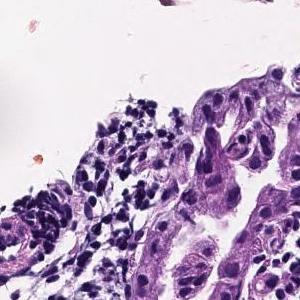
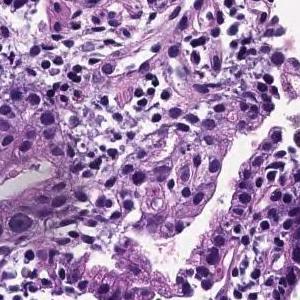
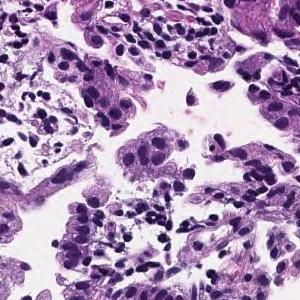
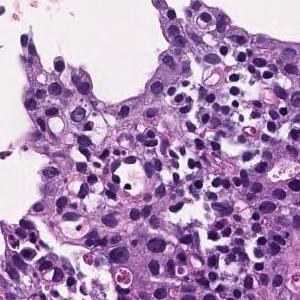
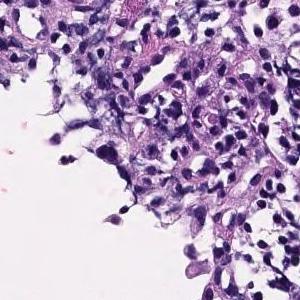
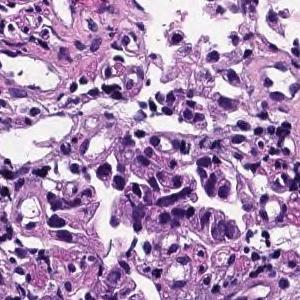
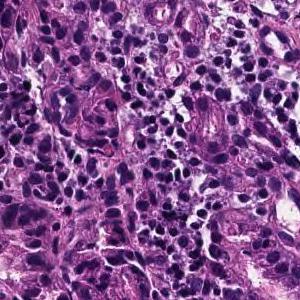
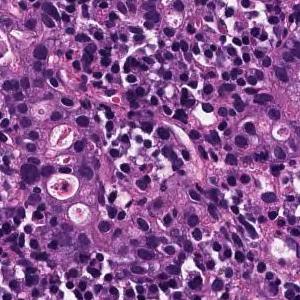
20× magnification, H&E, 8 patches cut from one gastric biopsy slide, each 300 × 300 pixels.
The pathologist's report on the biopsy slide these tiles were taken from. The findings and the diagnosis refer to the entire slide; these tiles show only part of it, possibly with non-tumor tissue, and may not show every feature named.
Medium to small, irregular glandular ducts are formed in the superficial epithelium, and in some cases, the glandular ducts are fused to show solid alveolar lesions and infiltrating tumor tissue is observed. Moderately to poorly differentiated adenocarcinoma.
